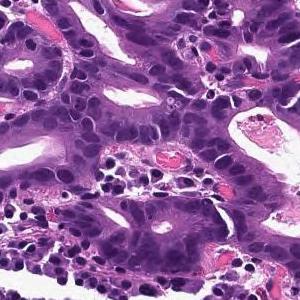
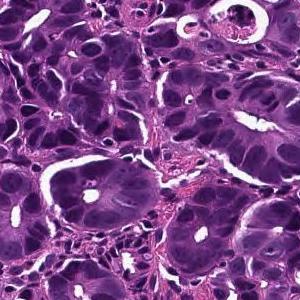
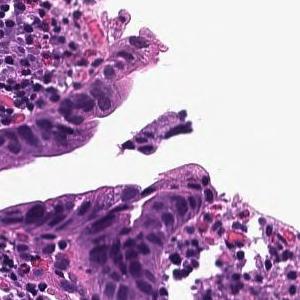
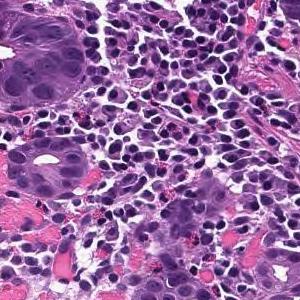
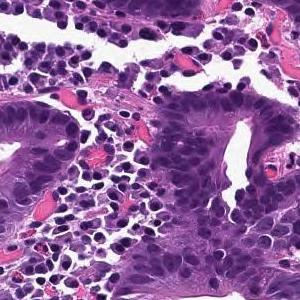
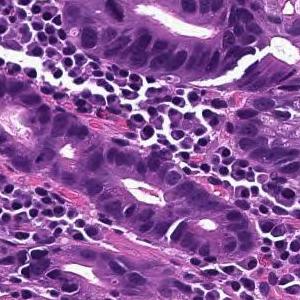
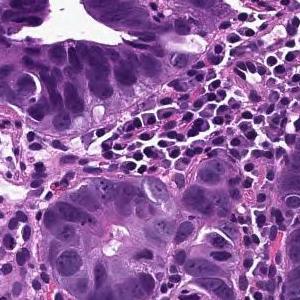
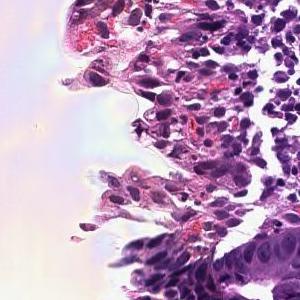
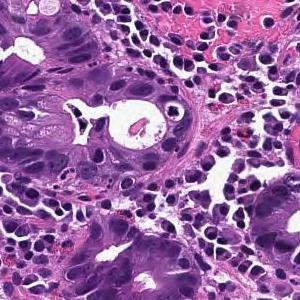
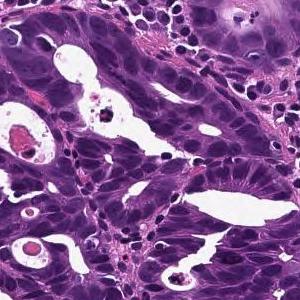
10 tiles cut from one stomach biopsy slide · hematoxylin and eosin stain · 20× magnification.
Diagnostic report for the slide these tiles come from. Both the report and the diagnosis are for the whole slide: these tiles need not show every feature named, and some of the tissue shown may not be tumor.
From the superficial epithelium to the muscularis mucosae, tumor tissue consisting of medium-sized and irregular glandular ducts infiltrating is observed. Well differentiated tubular adenocarcinoma
